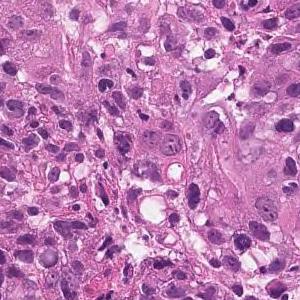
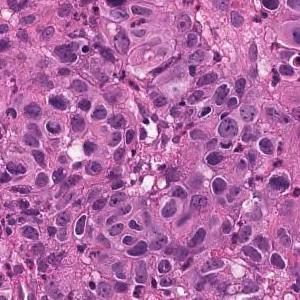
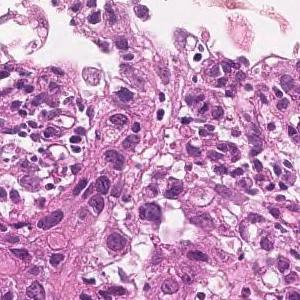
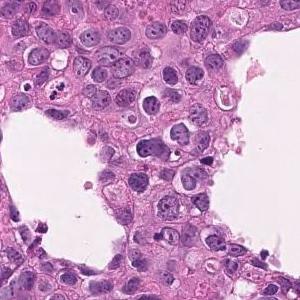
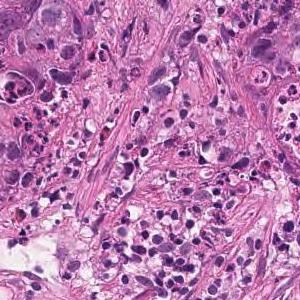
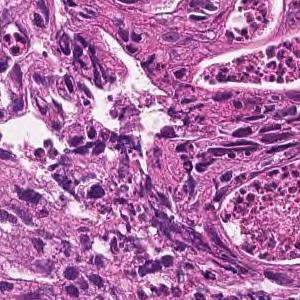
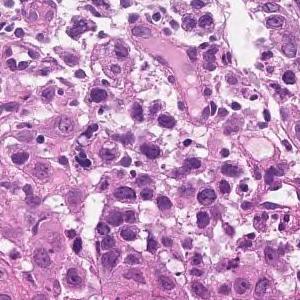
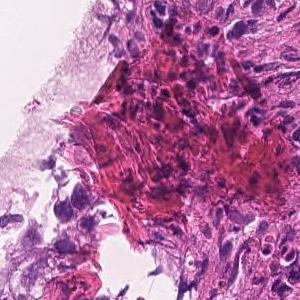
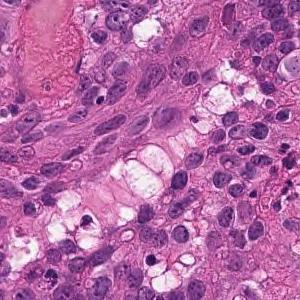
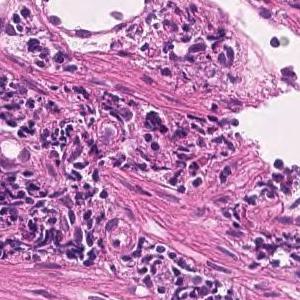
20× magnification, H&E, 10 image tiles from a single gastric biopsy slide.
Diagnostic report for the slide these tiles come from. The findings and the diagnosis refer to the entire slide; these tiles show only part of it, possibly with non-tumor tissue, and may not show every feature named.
The superficial epithelium shows a large sheet-like shape, and some tumor tissue infiltrates with small irregular ducts. Poorly differentiated adenocarcinoma, solid-type
Histological subtype: Poorly differentiated adenocarcinoma, solid type. This name comes from the Japanese Classification of Gastric Carcinoma; the WHO 2019 classification calls it tubular adenocarcinoma, poorly differentiated.
